20× magnification, H&E, 14 image tiles from a single gastric biopsy slide, 300 × 300 pixels each.
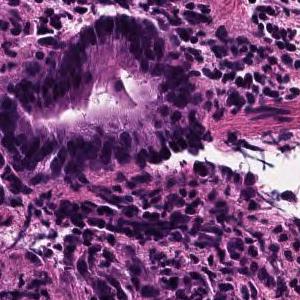
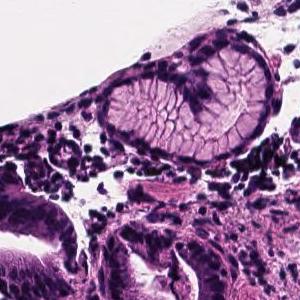
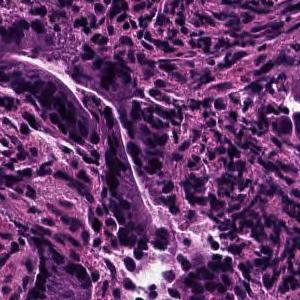
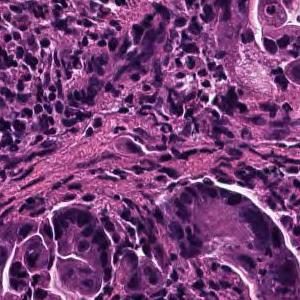
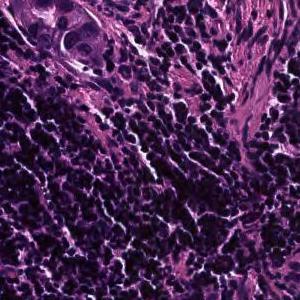
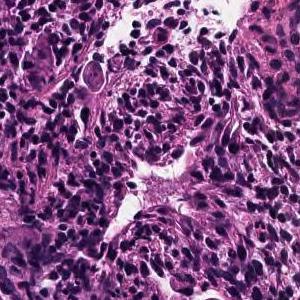
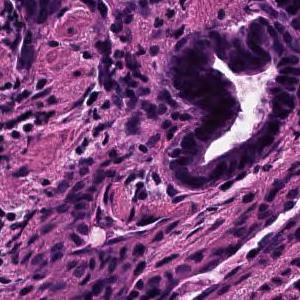
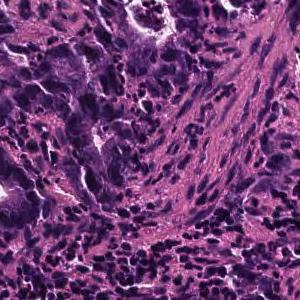
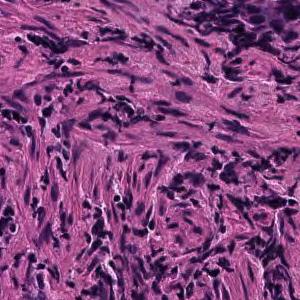
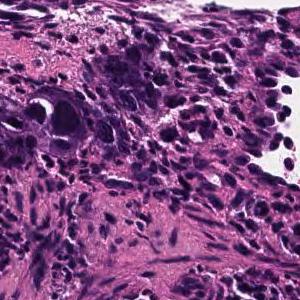
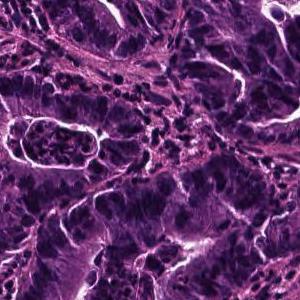
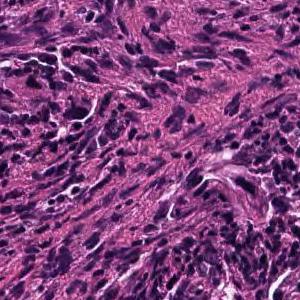
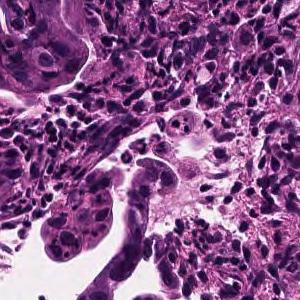
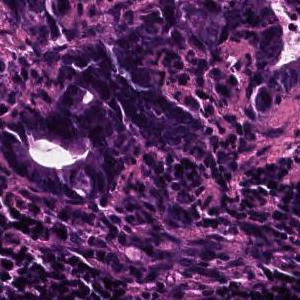
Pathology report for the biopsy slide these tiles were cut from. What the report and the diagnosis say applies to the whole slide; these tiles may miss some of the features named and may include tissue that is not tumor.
On the superficial epithelium, tumor tissue consisting of large, irregular glandular ducts partially fused and infiltrated is observed. Well to moderately differentiated tubular adenocarcinoma (well differentiated tubular adenocarcinoma, moderately differentiated tubular adenocarcinoma)
Classified as well to moderately differentiated tubular adenocarcinoma.
